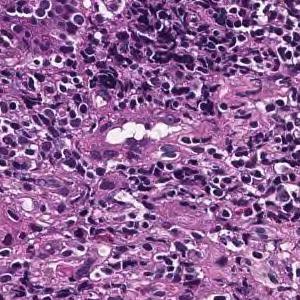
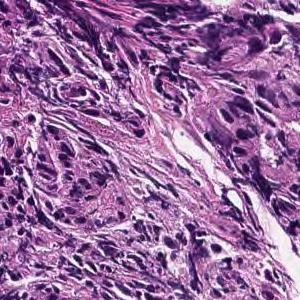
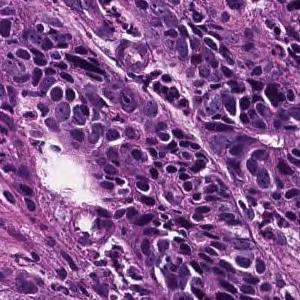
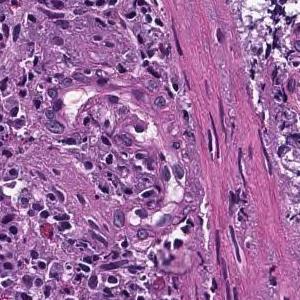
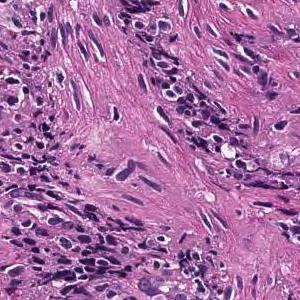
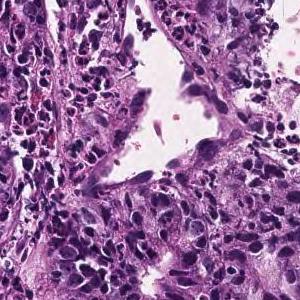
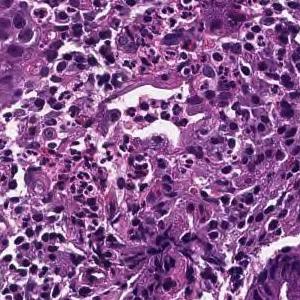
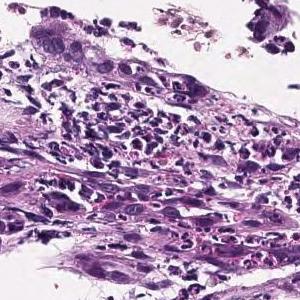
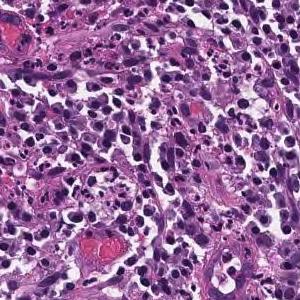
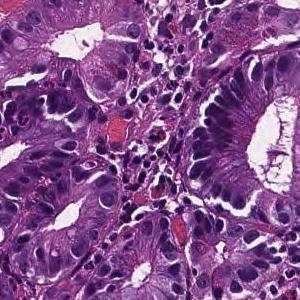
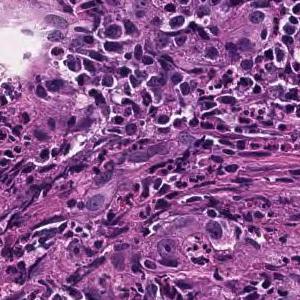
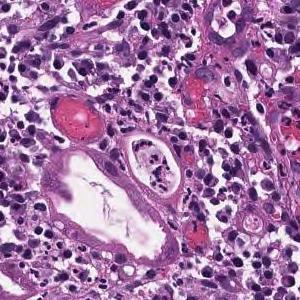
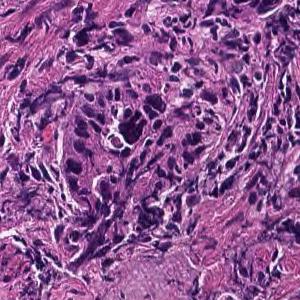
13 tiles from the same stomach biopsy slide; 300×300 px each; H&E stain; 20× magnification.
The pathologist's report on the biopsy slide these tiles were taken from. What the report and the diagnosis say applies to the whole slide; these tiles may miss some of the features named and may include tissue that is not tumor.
On the superficial epithelium, tumor tissue consisting of large, irregular glandular ducts partially fused and infiltrated is observed. Well to moderately differentiated tubular adenocarcinoma (well differentiated tubular adenocarcinoma, moderately differentiated tubular adenocarcinoma)
Tumor subtype: well to moderately differentiated tubular adenocarcinoma.
